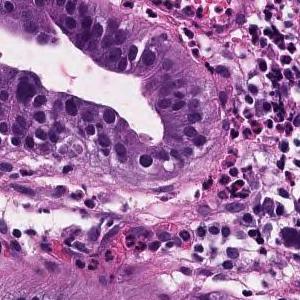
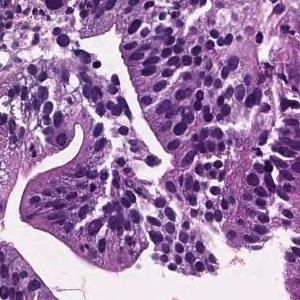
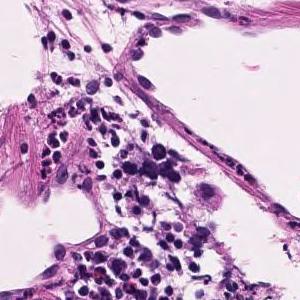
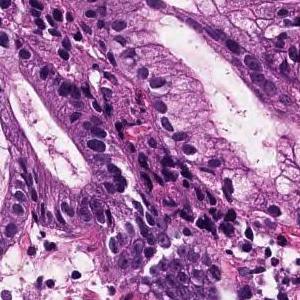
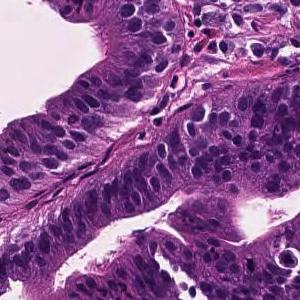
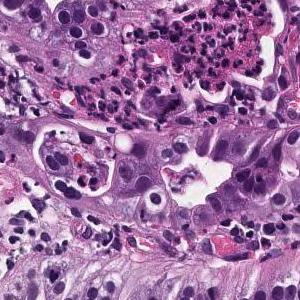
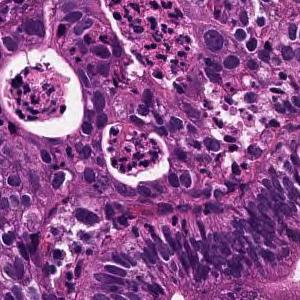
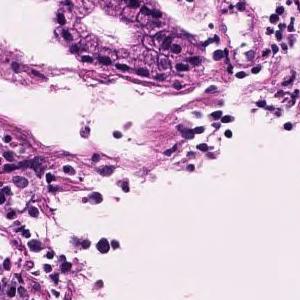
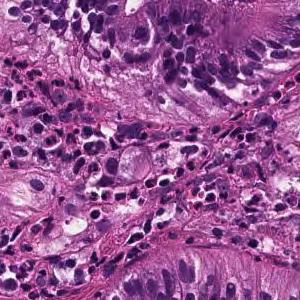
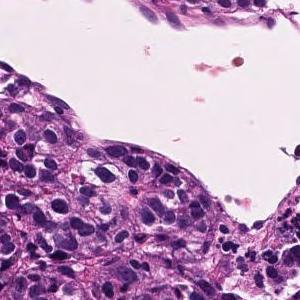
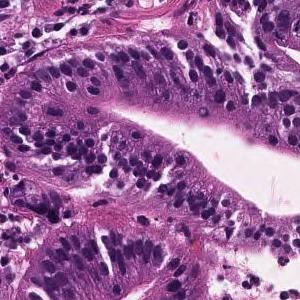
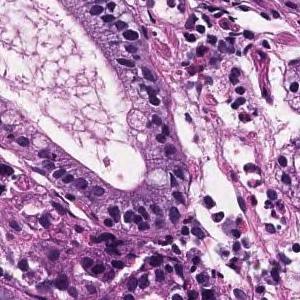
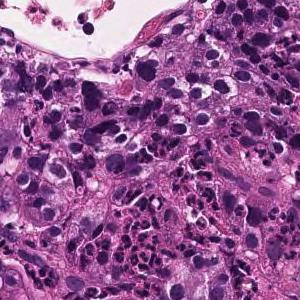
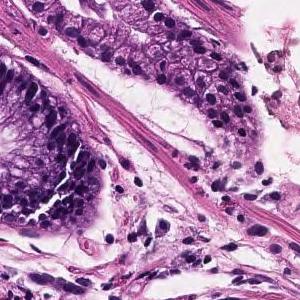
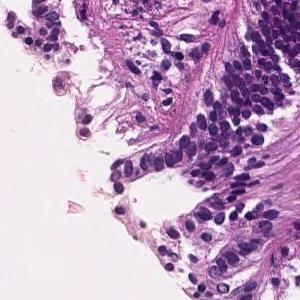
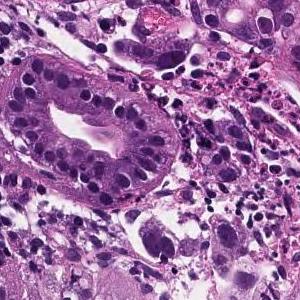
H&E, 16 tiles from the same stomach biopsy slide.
Pathology report for the biopsy slide these tiles were cut from. The report and the diagnosis describe the slide as a whole, so these tiles may not show every feature named and may include non-tumor tissue.
In the superficial epithelium, tumor tissue that invades by forming medium-sized to small, irregular ducts is observed. moderately differentiated tubular adenocarcinoma.
